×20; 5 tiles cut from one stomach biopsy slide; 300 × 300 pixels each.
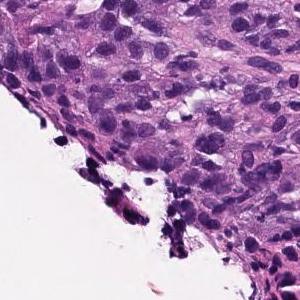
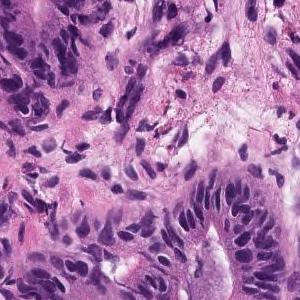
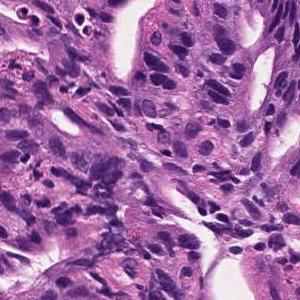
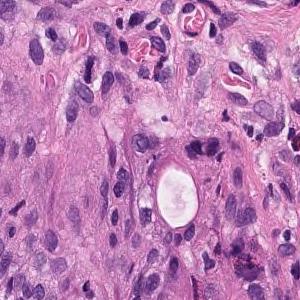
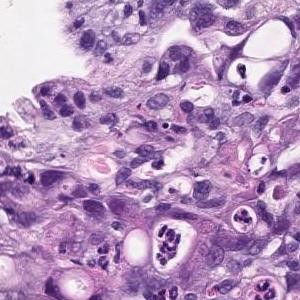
Report on the slide these tiles come from. The findings and the diagnosis refer to the entire slide; these tiles show only part of it, possibly with non-tumor tissue, and may not show every feature named.
moderately differentiated tubular adenocarcinoma, Poorly differentiated adenocarcinoma
Dataset label: poorly differentiated adenocarcinoma, solid type, a category of the Japanese Classification of Gastric Carcinoma; in the WHO 2019 classification it is tubular adenocarcinoma, poorly differentiated.
